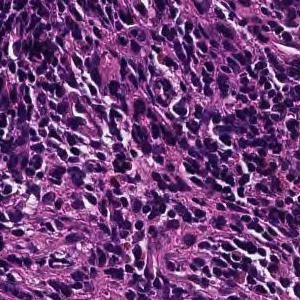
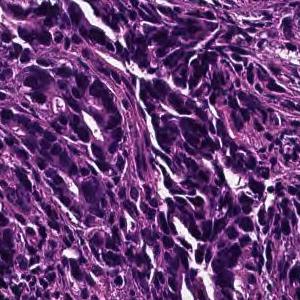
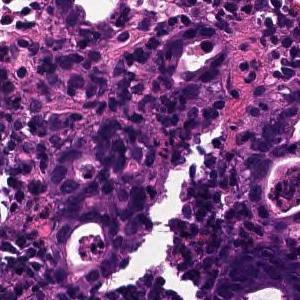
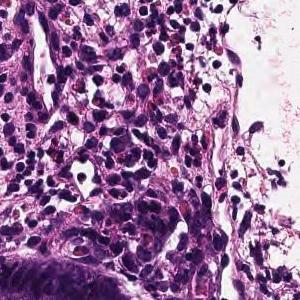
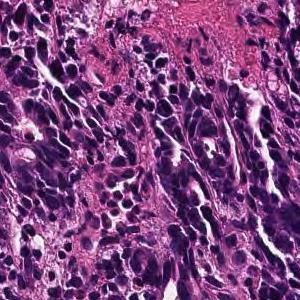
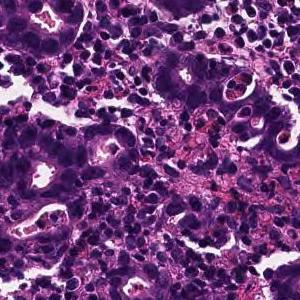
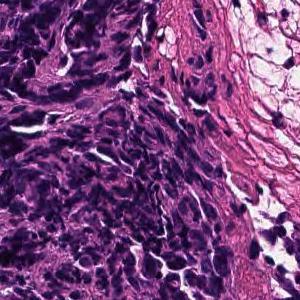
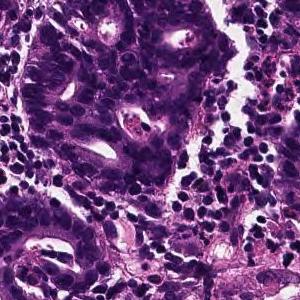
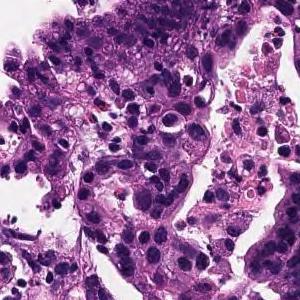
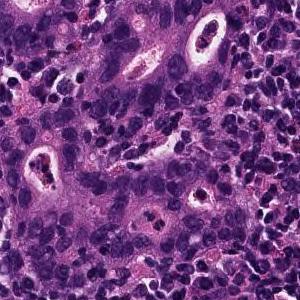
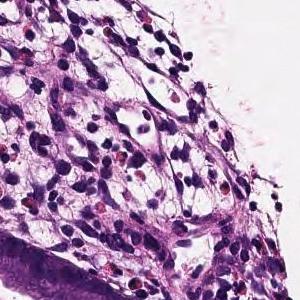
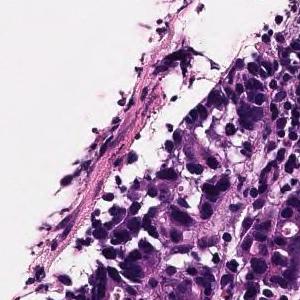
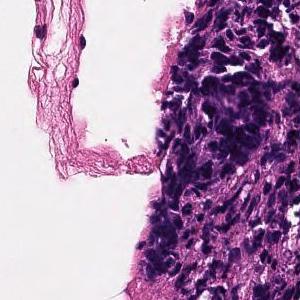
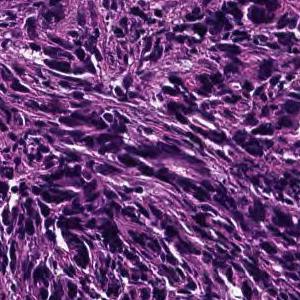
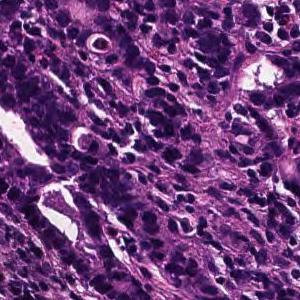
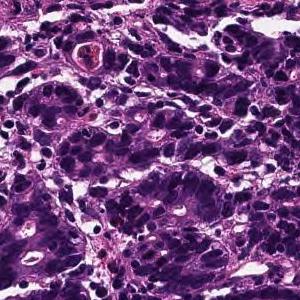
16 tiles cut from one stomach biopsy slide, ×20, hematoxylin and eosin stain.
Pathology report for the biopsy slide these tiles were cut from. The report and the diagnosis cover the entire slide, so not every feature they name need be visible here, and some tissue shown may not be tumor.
On the superficial epithelium, tumor tissue is found in which medium-sized irregular gland ducts fuse with each other and infiltrate. moderately differentiated tubular adenocarcinoma or Poorly differentiated adenocarcinoma, non-solid type
Classified as moderately to poorly differentiated adenocarcinoma.
The non-solid type named here is a Japanese Classification of Gastric Carcinoma category.
